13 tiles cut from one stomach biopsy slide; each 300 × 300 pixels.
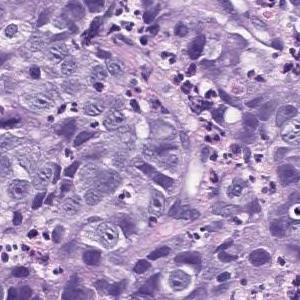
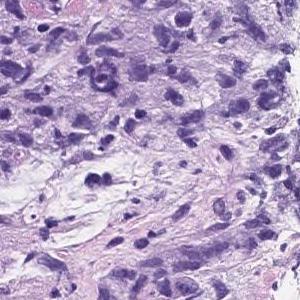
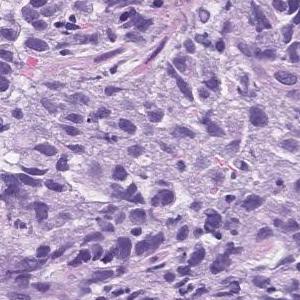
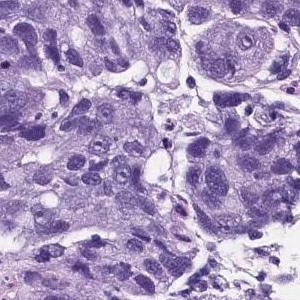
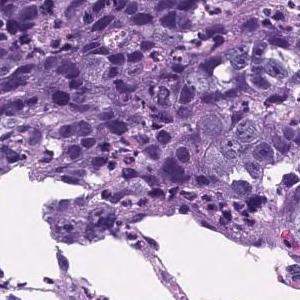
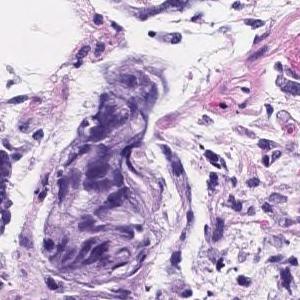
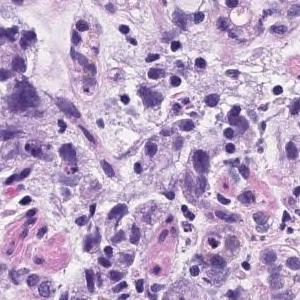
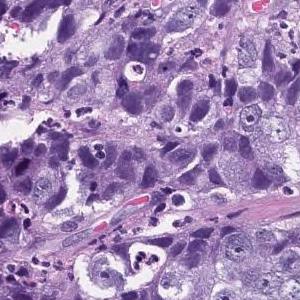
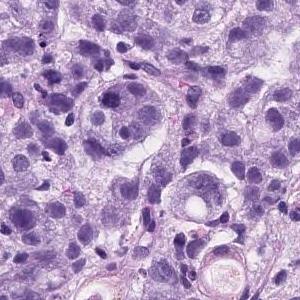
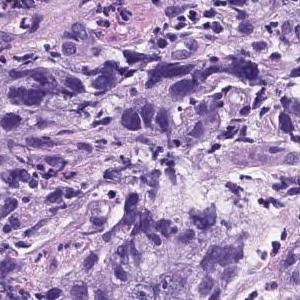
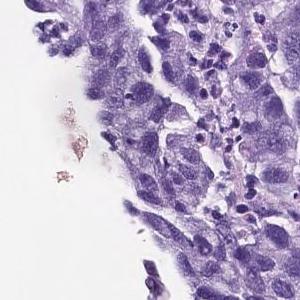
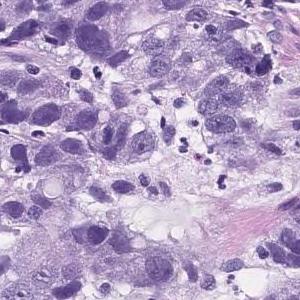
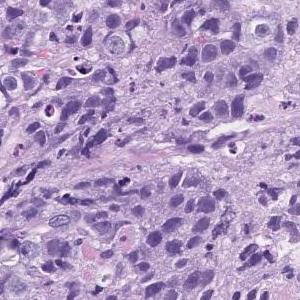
Report on the slide these tiles come from. What the report and the diagnosis say applies to the whole slide; these tiles may miss some of the features named and may include tissue that is not tumor.
Atypical l cells with atypical nuclei forming solid vesicles or small irregular atypical ducts that proliferate in a complex manner. poorly differentiated adenocarcinoma, solid type, moderately differentiated tubular adenocarcinoma
The term "solid type" comes from the Japanese Classification of Gastric Carcinoma; the WHO 2019 equivalent is tubular adenocarcinoma, poorly differentiated.
